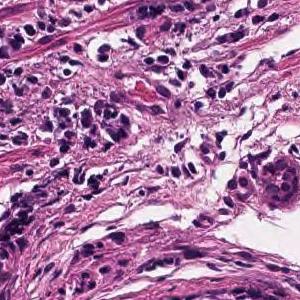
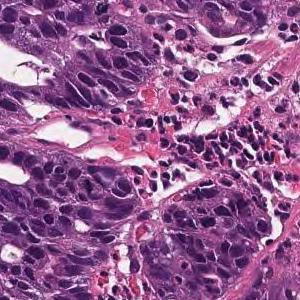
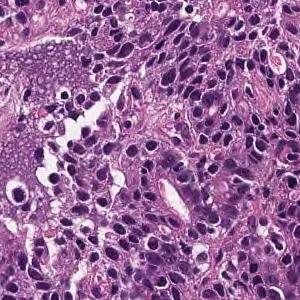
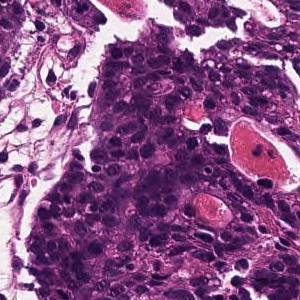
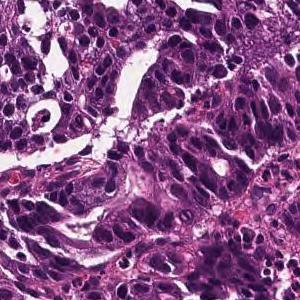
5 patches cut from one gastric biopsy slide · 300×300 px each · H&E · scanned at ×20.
The pathologist's report on the biopsy slide these tiles were taken from. The report describes the whole slide, diagnosis included: not every finding it names need appear in these tiles, which may also show non-tumor tissue.
Medium to small, irregular glandular ducts are formed in the superficial epithelium, and in some cases, the glandular ducts are fused to show solid alveolar lesions and infiltrating tumor tissue is observed. Moderately to poorly differentiated adenocarcinoma.
